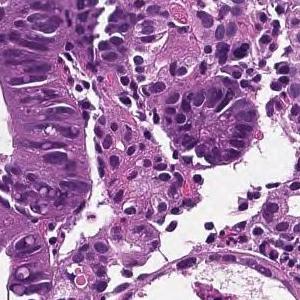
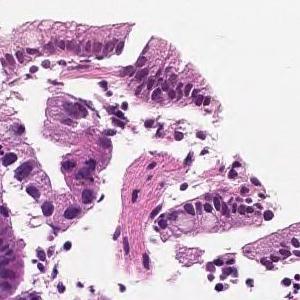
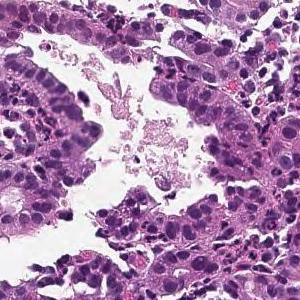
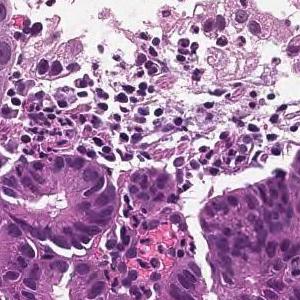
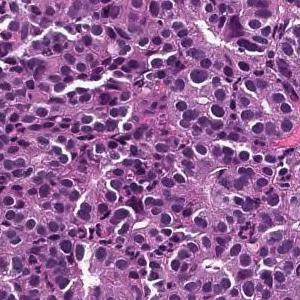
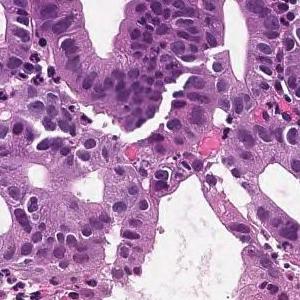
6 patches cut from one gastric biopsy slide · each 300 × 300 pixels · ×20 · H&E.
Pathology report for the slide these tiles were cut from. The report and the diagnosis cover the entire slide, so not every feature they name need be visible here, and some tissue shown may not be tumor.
From the superficial epithelium to the muscularis mucosae, tumor tissue consisting of medium-sized and irregular glandular ducts infiltrating is observed. Well differentiated tubular adenocarcinoma
